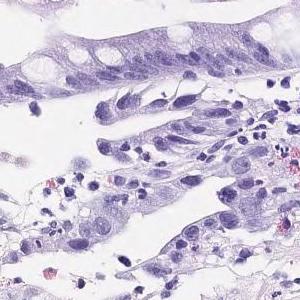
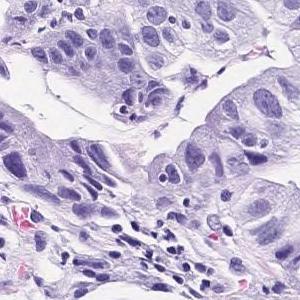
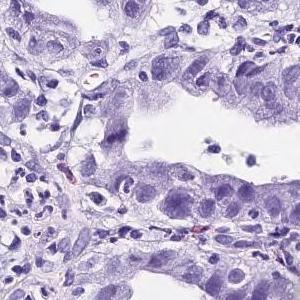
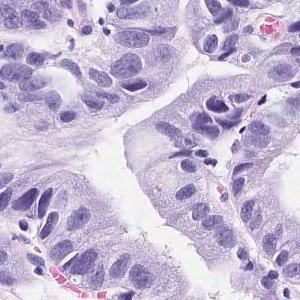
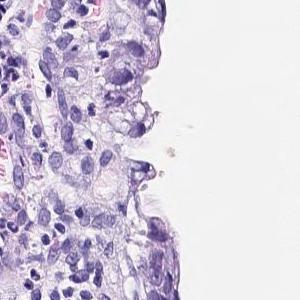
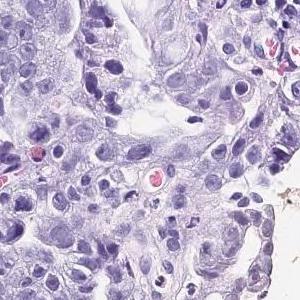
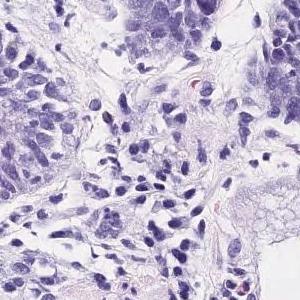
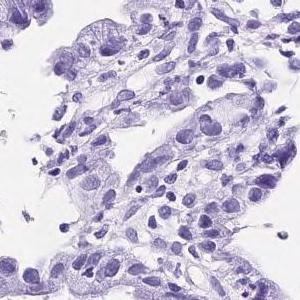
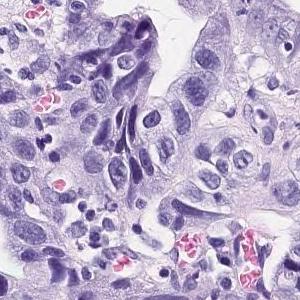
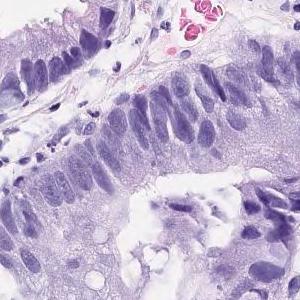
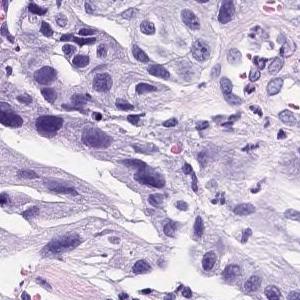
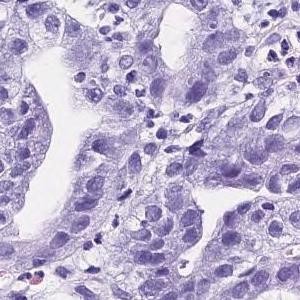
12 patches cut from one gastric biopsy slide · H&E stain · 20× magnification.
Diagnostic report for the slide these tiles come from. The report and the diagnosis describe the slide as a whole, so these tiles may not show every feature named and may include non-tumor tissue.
Tumor tissue consisting of medium-sized and irregular ducts is observed infiltrating in the superficial epithelium. Tumor cells are highly columnar, with nuclei aligned basolaterally and polarized. Well differentiated tubular adenocarcinoma.
